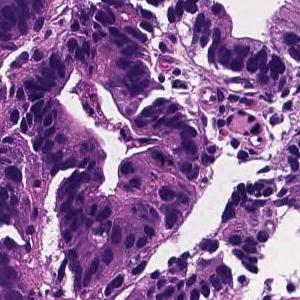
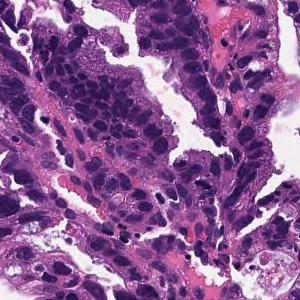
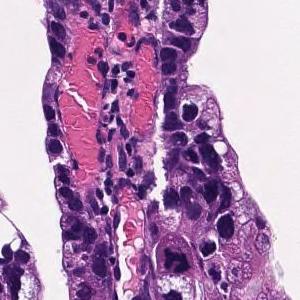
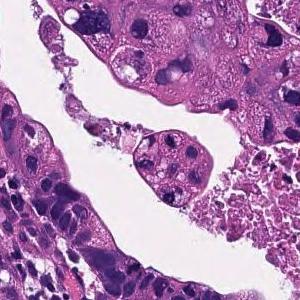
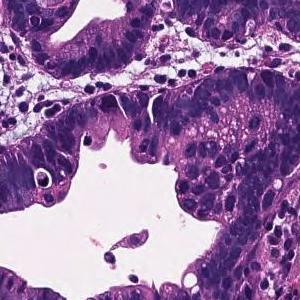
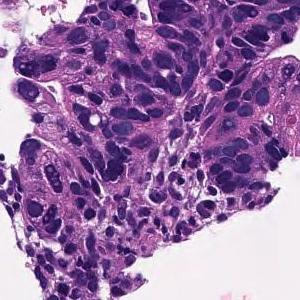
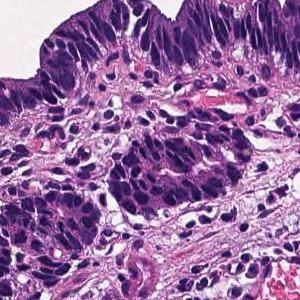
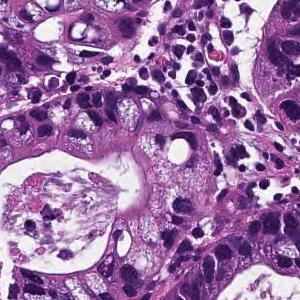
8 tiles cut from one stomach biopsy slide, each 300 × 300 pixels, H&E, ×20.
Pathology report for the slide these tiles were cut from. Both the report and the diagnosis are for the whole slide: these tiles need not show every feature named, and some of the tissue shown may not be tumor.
In the superficial epithelium, tumor tissue that invades by forming medium-sized to small, irregular ducts is observed. moderately differentiated tubular adenocarcinoma.
